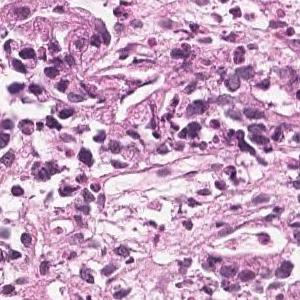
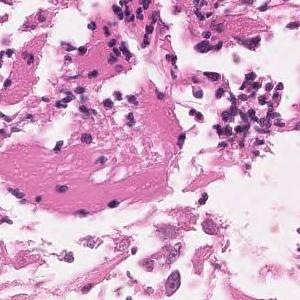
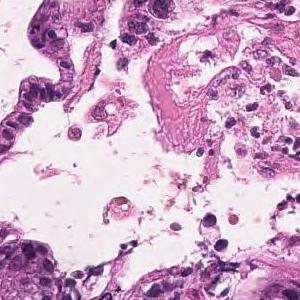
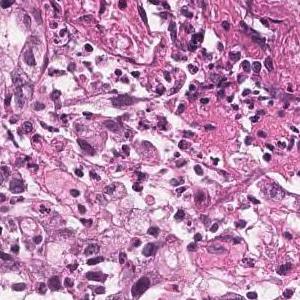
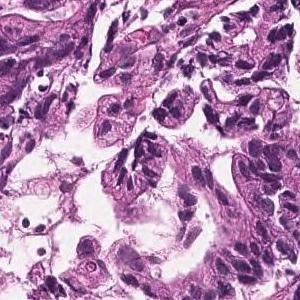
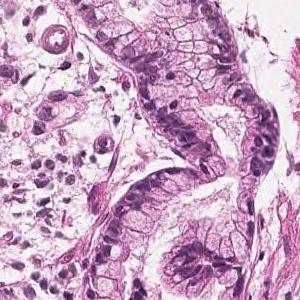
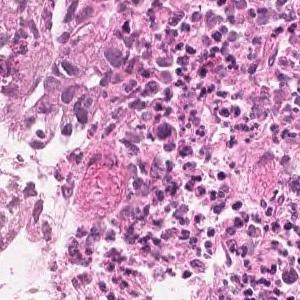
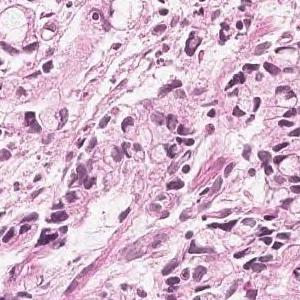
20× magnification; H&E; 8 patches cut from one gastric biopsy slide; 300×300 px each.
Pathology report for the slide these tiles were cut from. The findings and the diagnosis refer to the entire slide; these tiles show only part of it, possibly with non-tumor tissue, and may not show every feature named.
In the superficial epithelium, medium to small irregular gland ducts are formed, and in some cases, the ducts are fused to show solid alveolar lesions and infiltrating tumor tissue is observed. Moderately to poorly differentiated adenocarcinoma
